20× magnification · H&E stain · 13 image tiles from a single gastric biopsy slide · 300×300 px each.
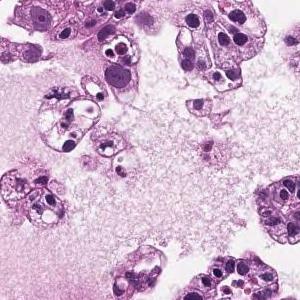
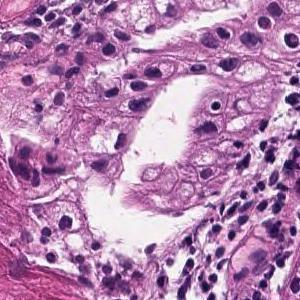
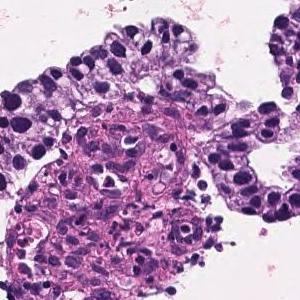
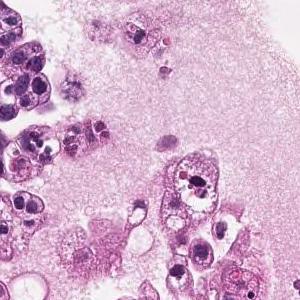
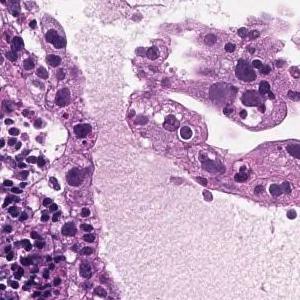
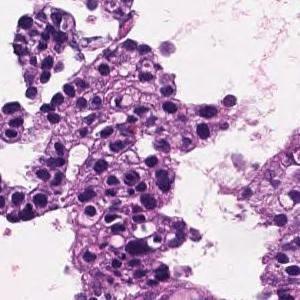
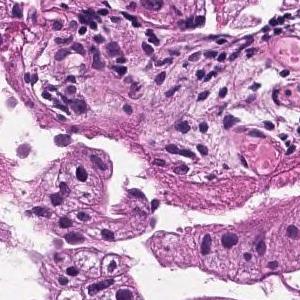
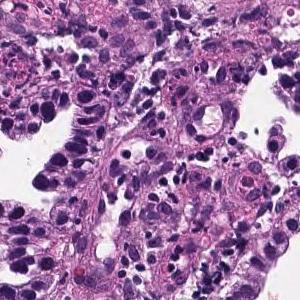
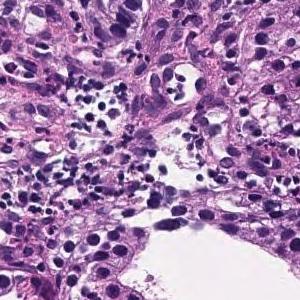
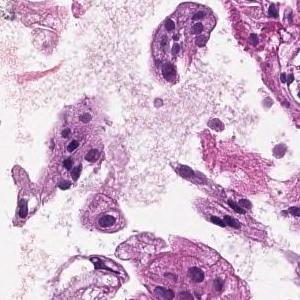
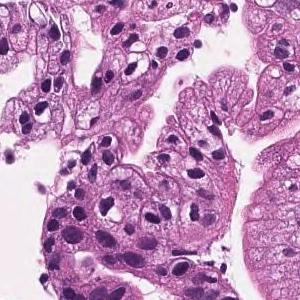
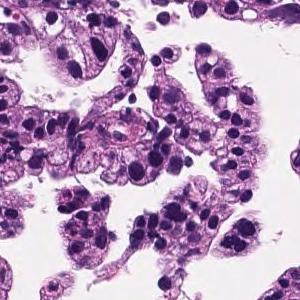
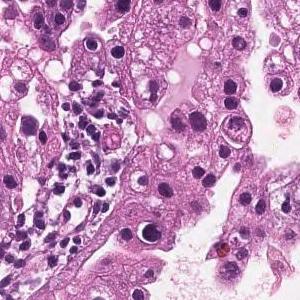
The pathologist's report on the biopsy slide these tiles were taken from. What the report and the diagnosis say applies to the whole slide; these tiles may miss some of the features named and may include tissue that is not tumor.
On the superficial epithelium, tumor tissue that infiltrates by forming medium-sized papillary or small irregular ducts is observed. Papillary adenocarcinoma
